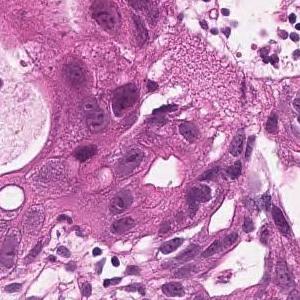
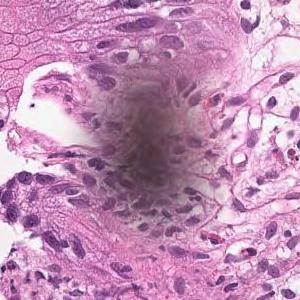
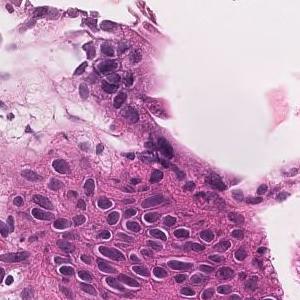
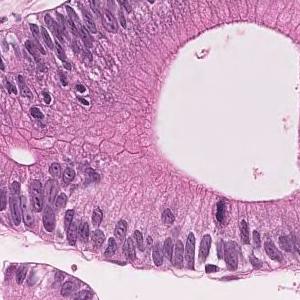
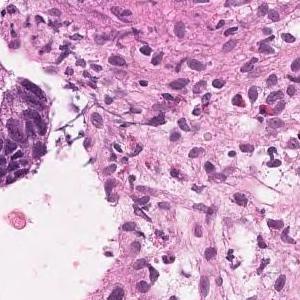
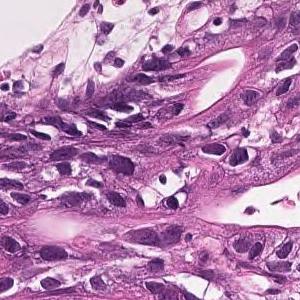
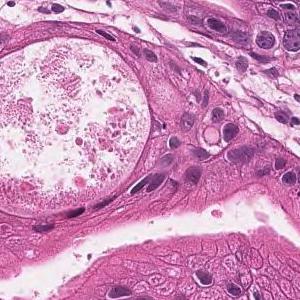
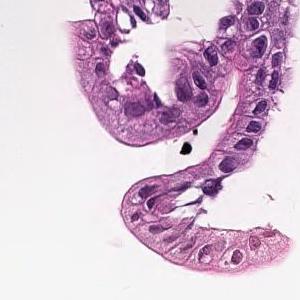
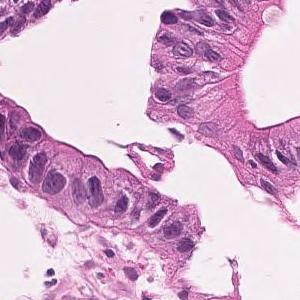
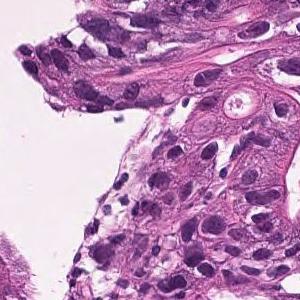
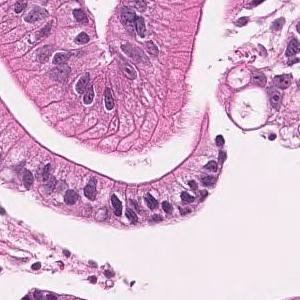
11 tiles cut from one stomach biopsy slide · each 300 × 300 pixels · scanned at ×20 · H&E stain.
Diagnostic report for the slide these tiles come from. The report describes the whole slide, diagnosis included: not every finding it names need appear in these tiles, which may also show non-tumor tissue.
On the superficial epithelium, tumor tissue that infiltrates by forming medium-sized papillary or small irregular ducts is observed. Papillary adenocarcinoma
